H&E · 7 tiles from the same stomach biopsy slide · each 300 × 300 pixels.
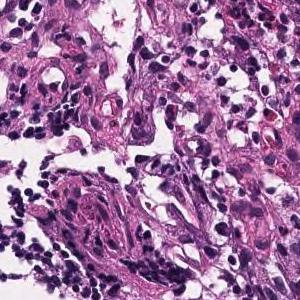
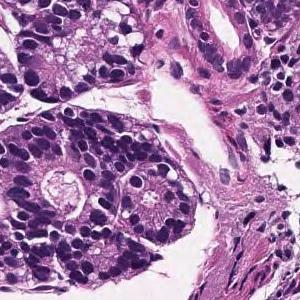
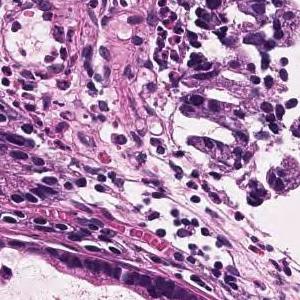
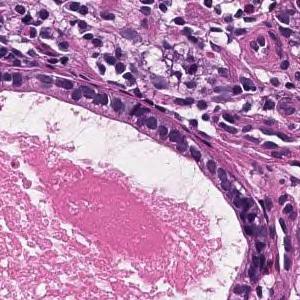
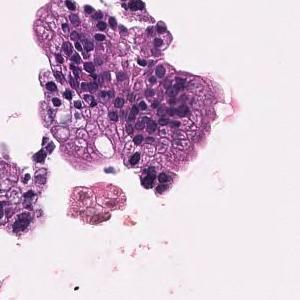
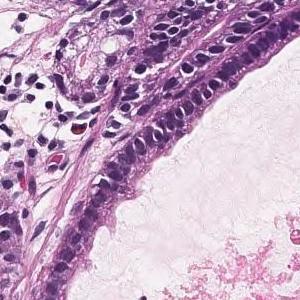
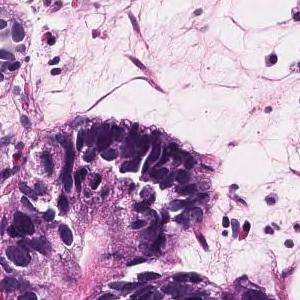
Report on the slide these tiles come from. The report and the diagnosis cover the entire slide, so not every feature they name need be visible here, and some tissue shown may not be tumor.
Tumor tissue consisting of medium-sized and irregular ducts is observed infiltrating in the superficial epithelium. Tumor cells are highly columnar, with nuclei aligned basolaterally and polarized. Well differentiated tubular adenocarcinoma.
